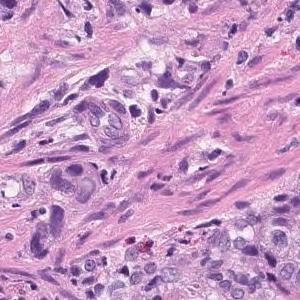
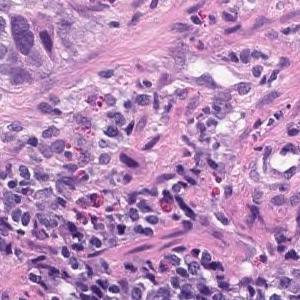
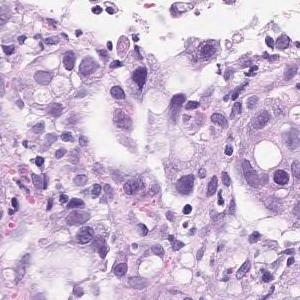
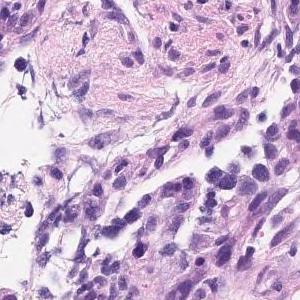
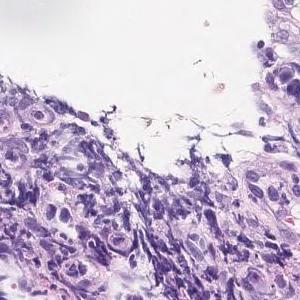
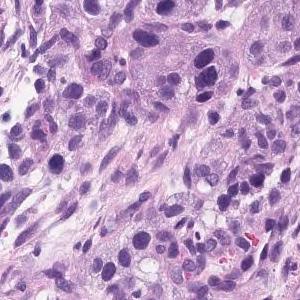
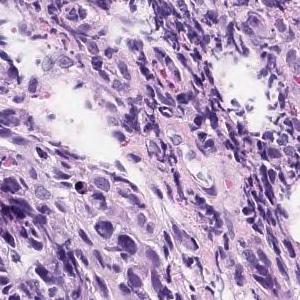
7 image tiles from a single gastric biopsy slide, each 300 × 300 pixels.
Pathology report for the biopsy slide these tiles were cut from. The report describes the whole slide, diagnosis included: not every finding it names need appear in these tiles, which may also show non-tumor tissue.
Group 5, Moderately differentiated adenocarcinoma
Classified as moderately differentiated tubular adenocarcinoma.
